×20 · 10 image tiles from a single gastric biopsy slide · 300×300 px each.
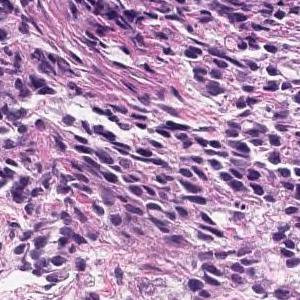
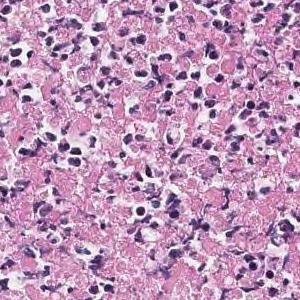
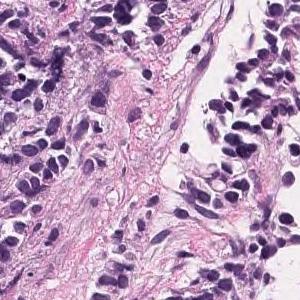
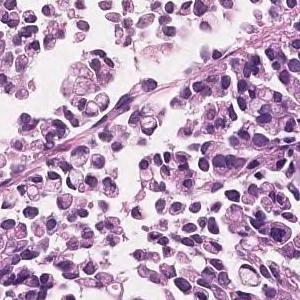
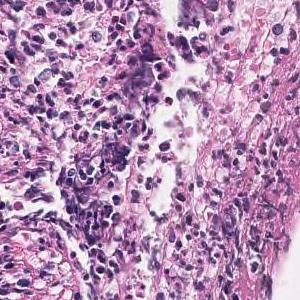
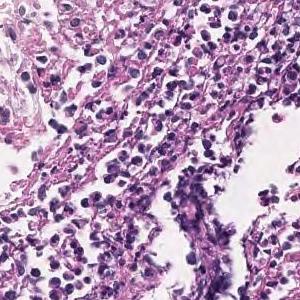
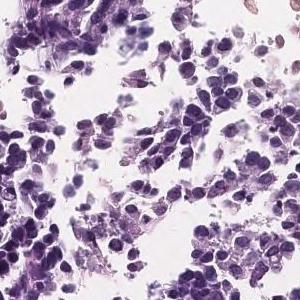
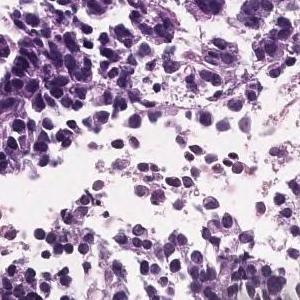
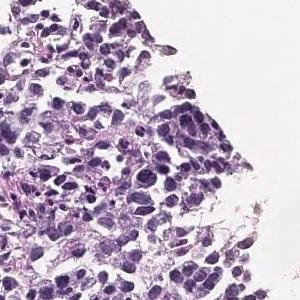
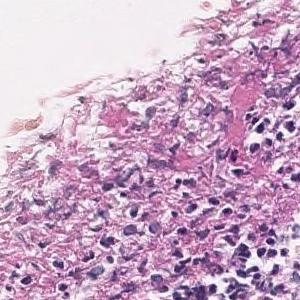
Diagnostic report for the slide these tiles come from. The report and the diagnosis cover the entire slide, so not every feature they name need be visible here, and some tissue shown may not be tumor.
The superficial epithelium shows a large sheet-like shape, and some tumor tissue infiltrates with small irregular ducts. Poorly differentiated adenocarcinoma, solid-type
Histologic type: Poorly differentiated adenocarcinoma, solid type. This name comes from the Japanese Classification of Gastric Carcinoma; the WHO 2019 classification calls it tubular adenocarcinoma, poorly differentiated.
